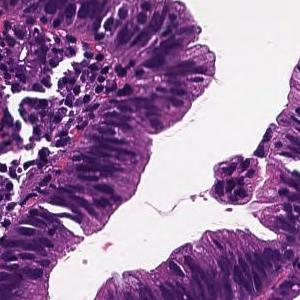
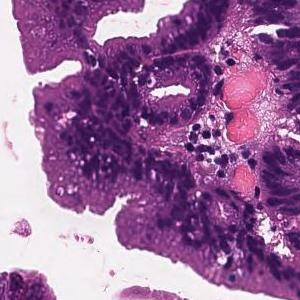
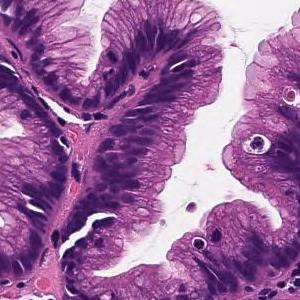
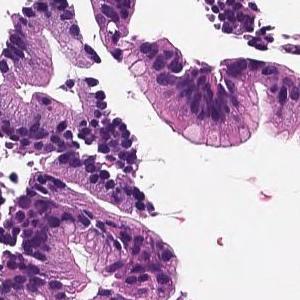
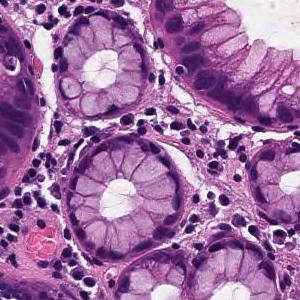
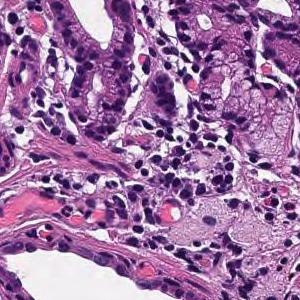
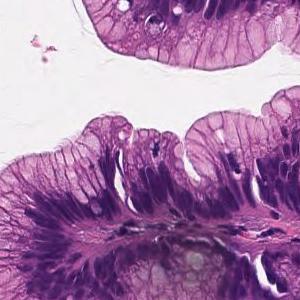
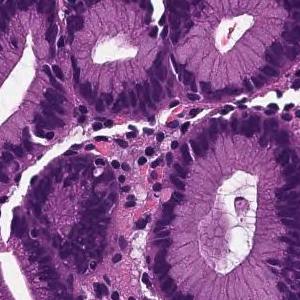
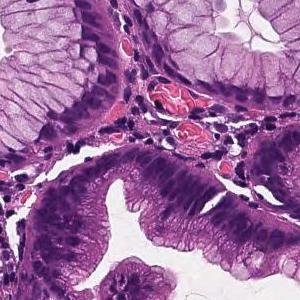
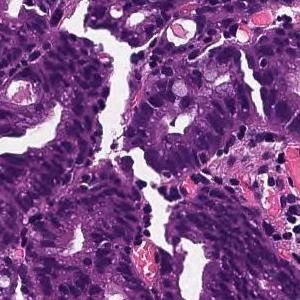
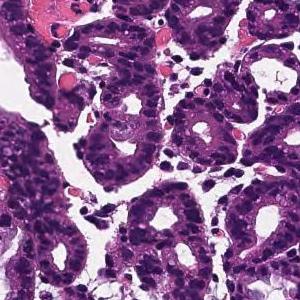
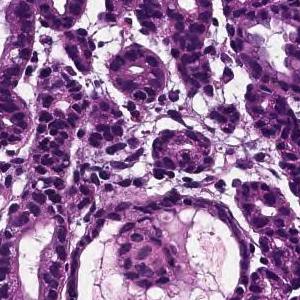
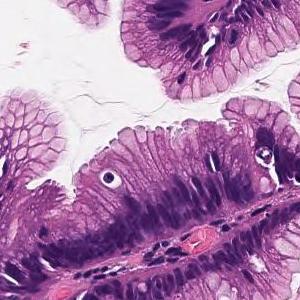
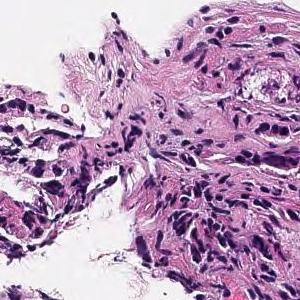
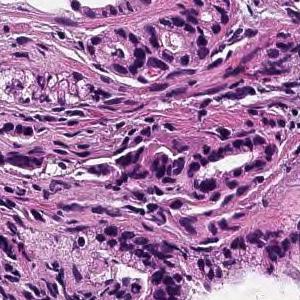
15 patches cut from one gastric biopsy slide · 20× magnification · H&E.
Report on the slide these tiles come from. The report describes the whole slide, diagnosis included: not every finding it names need appear in these tiles, which may also show non-tumor tissue.
Cells with elliptical or atypical nuclei form dense ducts with relatively clear growth. Well differentiated tubular adenocarcinoma
